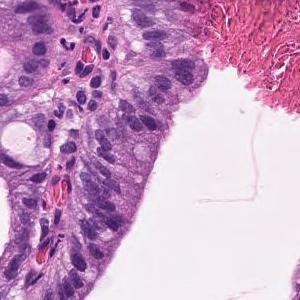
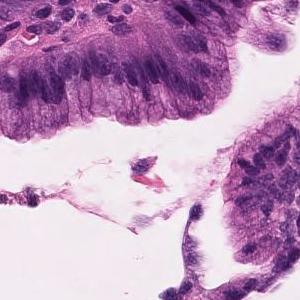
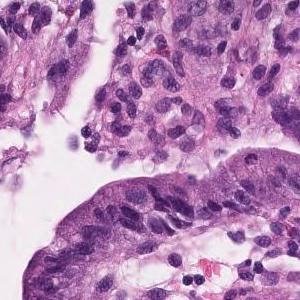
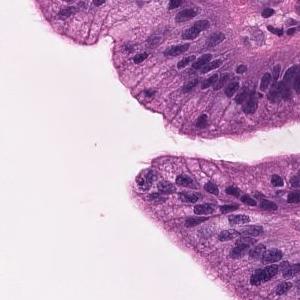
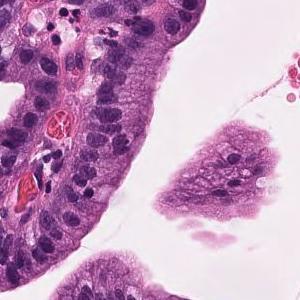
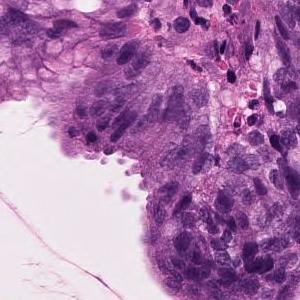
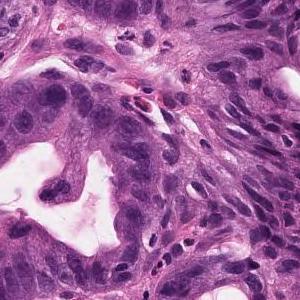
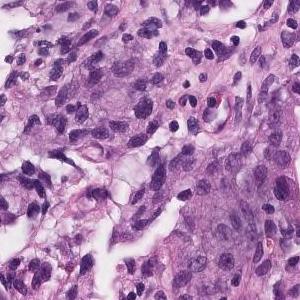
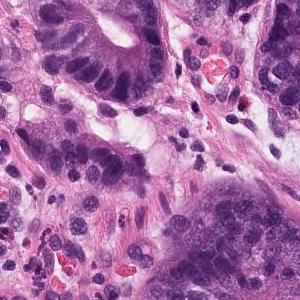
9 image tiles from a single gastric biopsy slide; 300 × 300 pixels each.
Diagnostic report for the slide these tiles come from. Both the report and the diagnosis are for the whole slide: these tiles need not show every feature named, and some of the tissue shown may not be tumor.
On the superficial epithelium, tumor tissue consisting of large, irregular glandular ducts partially fused and infiltrated is observed. Well to moderately differentiated tubular adenocarcinoma (well differentiated tubular adenocarcinoma, moderately differentiated tubular adenocarcinoma)
Tumor subtype: well to moderately differentiated tubular adenocarcinoma.
